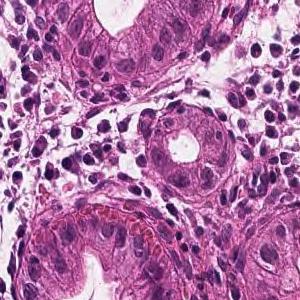
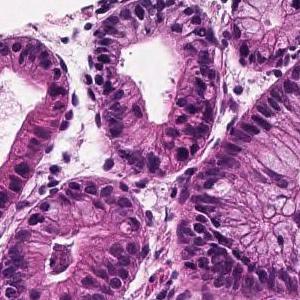
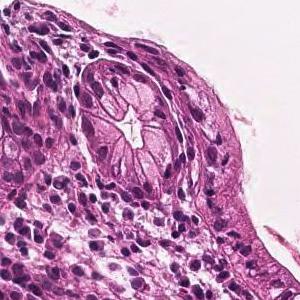
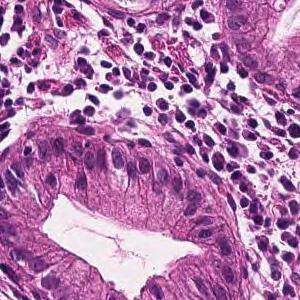
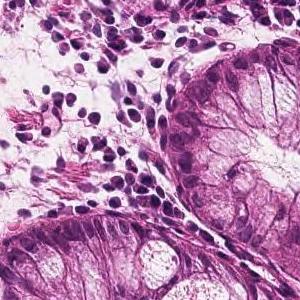
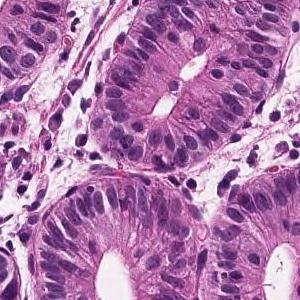
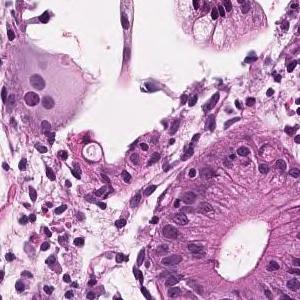
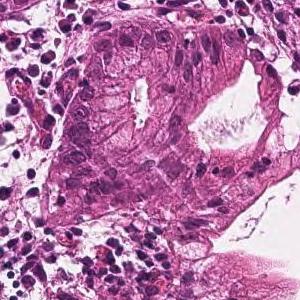
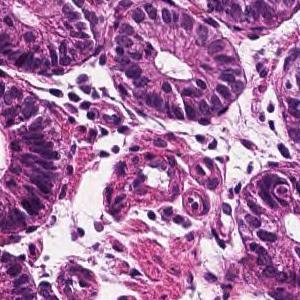
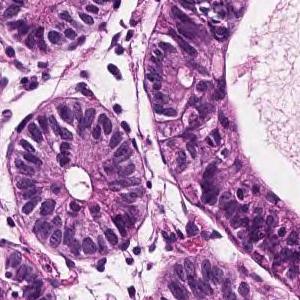
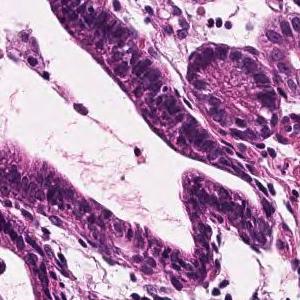
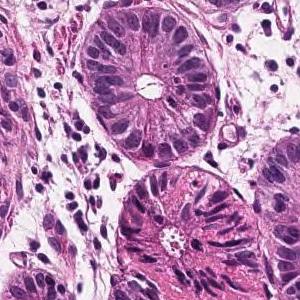
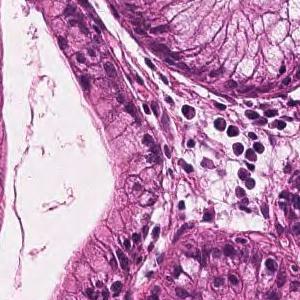
13 tiles from the same stomach biopsy slide, hematoxylin and eosin stain.
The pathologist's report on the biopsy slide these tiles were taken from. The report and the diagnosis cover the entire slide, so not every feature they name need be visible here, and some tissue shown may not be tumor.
In the superficial epithelium, tumor tissue that invades by forming medium-sized to small, irregular ducts is observed. Well differentiated tubular adenocarcinoma.
